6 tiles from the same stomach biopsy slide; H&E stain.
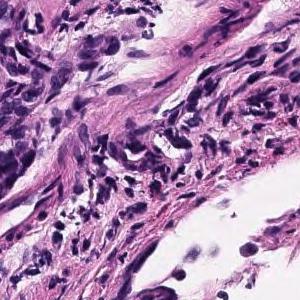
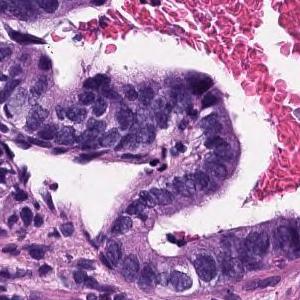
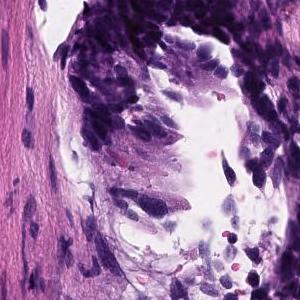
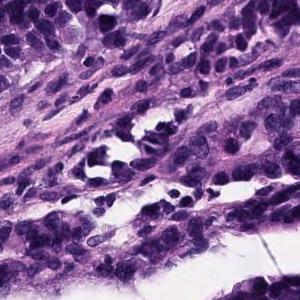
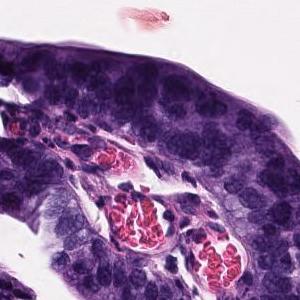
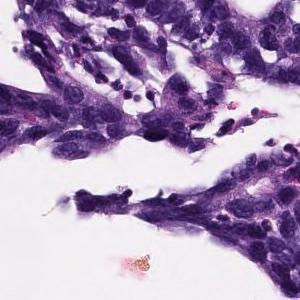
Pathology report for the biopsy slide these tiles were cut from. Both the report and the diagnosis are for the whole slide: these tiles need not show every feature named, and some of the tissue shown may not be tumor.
Atypical epithelium proliferating showing villus construction and irregular gland duct construction is observed. Moderately differentiated tubular adenocarcinoma.
